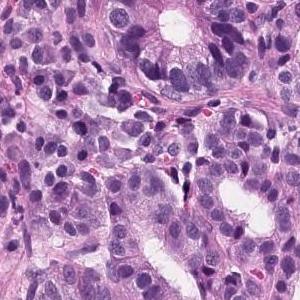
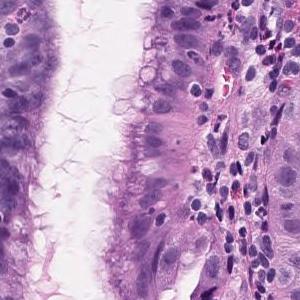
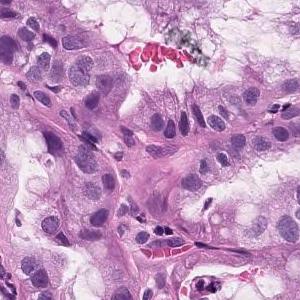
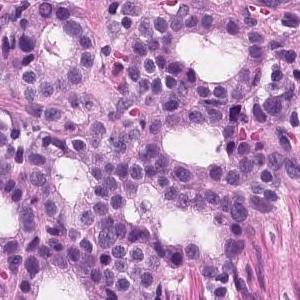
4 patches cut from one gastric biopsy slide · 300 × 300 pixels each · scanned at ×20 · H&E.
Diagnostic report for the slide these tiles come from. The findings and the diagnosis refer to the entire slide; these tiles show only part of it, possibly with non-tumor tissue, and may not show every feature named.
Tumor tissue consisting of medium-sized and irregular ducts is observed infiltrating in the superficial epithelium. Tumor cells are highly columnar, with nuclei aligned basolaterally and polarized. Well differentiated tubular adenocarcinoma.
